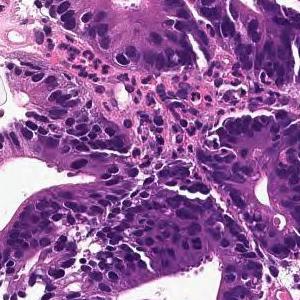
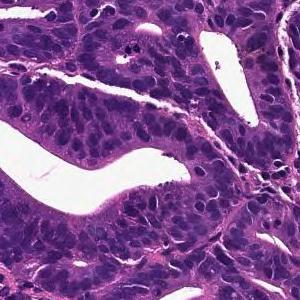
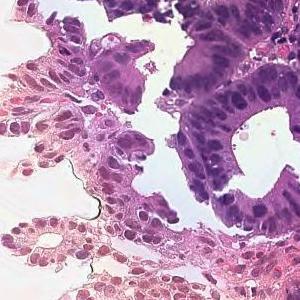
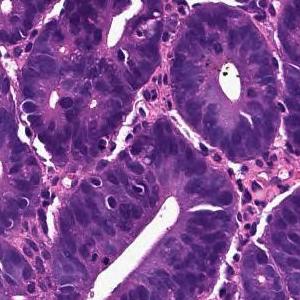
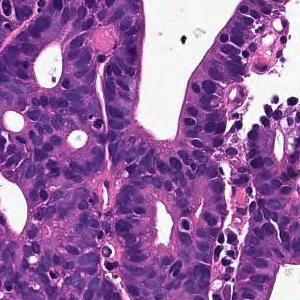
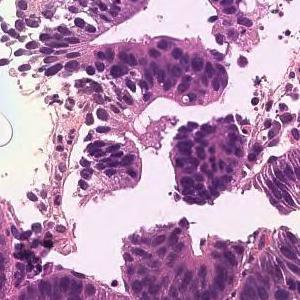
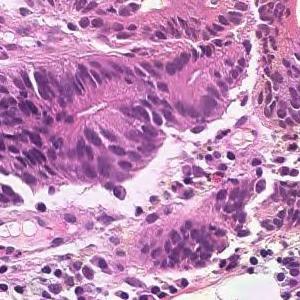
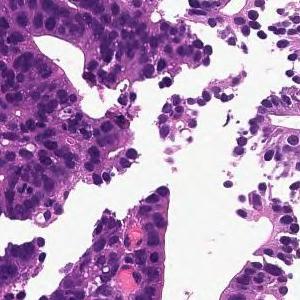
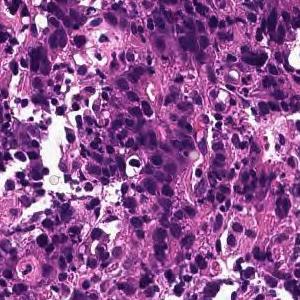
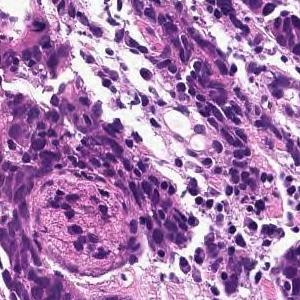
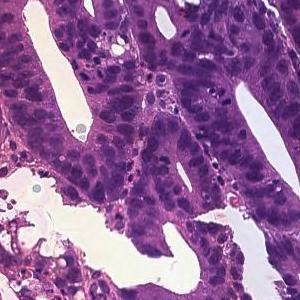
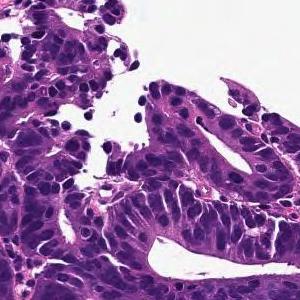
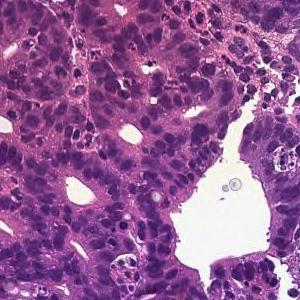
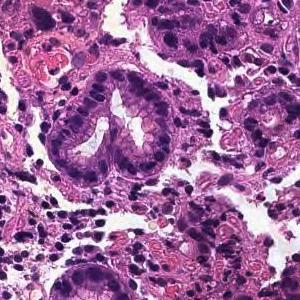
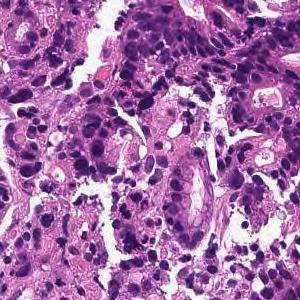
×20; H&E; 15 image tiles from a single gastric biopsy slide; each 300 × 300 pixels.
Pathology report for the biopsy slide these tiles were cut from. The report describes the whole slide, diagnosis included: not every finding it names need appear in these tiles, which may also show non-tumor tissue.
On the superficial epithelium, tumor tissue consisting of large irregular glandular ducts partially fused and infiltrated is observed. Well to moderately differentiated tubular adenocarcinoma (well differentiated tubular adenocarcinoma, moderately differentiated tubular adenocarcinoma)
Histologic type: Well to moderately differentiated tubular adenocarcinoma.
